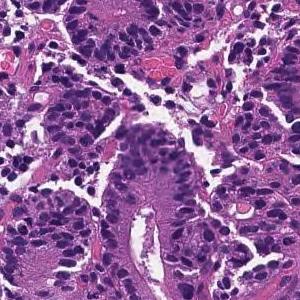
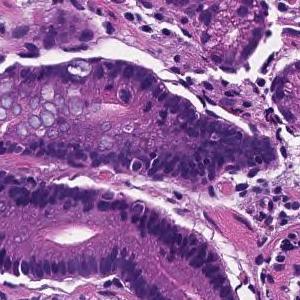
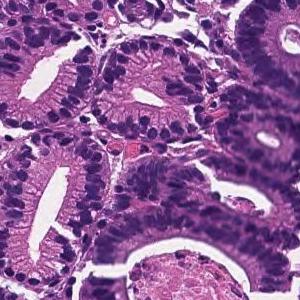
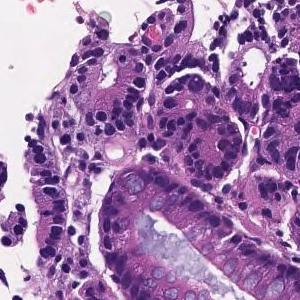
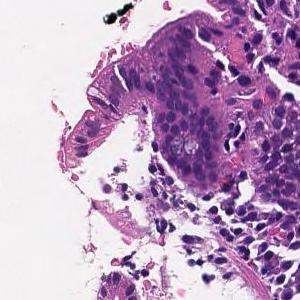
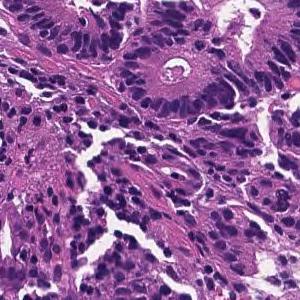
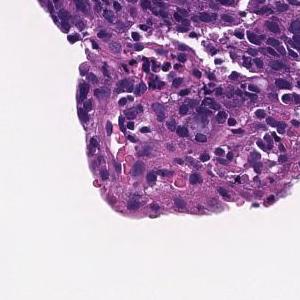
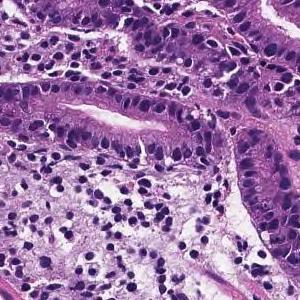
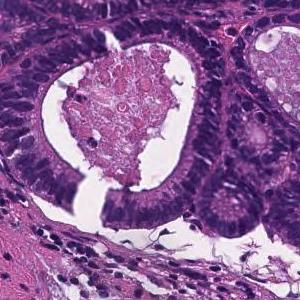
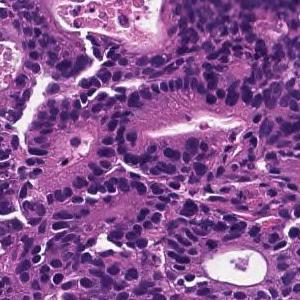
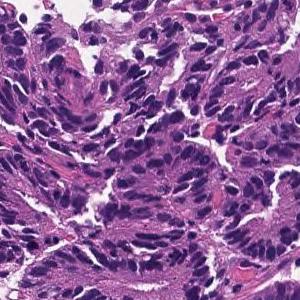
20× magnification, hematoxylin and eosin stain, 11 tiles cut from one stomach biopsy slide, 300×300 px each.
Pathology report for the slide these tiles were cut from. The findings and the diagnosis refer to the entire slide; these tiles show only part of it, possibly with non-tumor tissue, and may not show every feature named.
From the superficial epithelium to the muscularis mucosae, tumor tissue consisting of medium-sized and irregular glandular ducts infiltrating is observed. Well differentiated tubular adenocarcinoma
